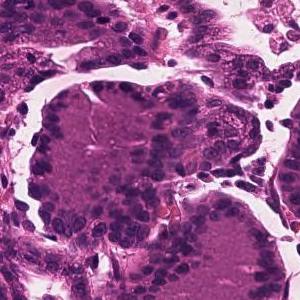
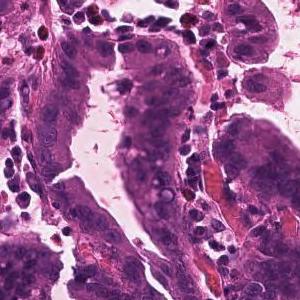
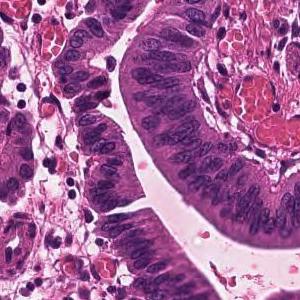
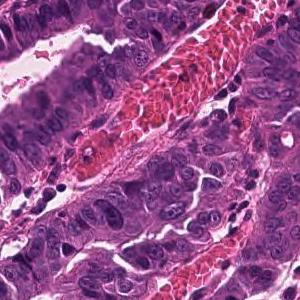
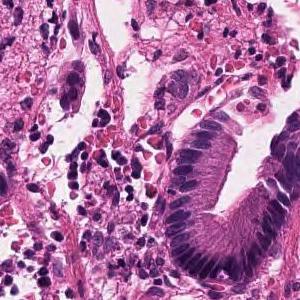
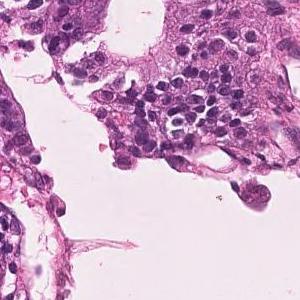
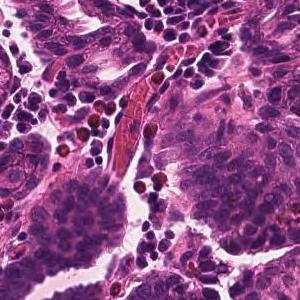
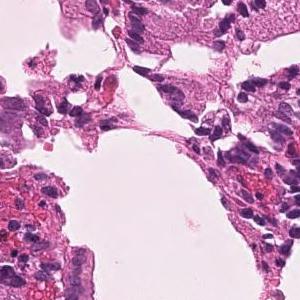
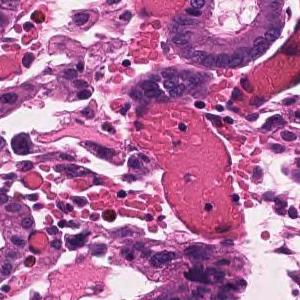
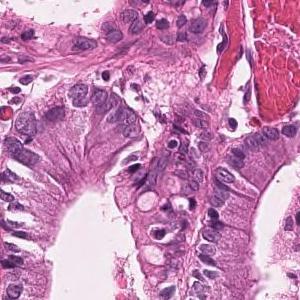
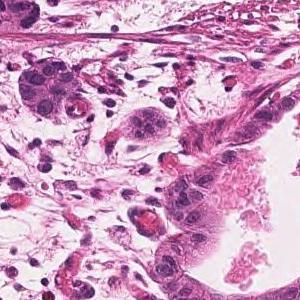
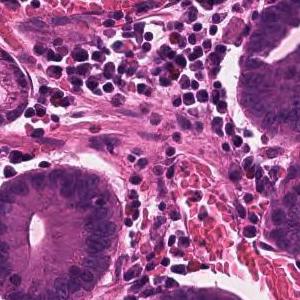
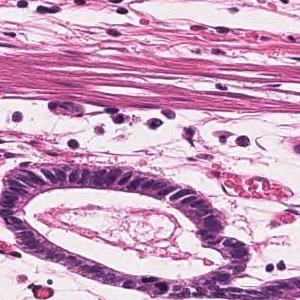
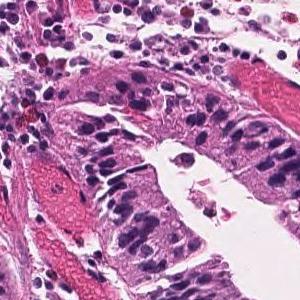
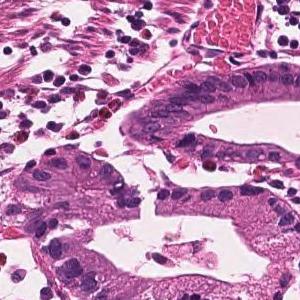
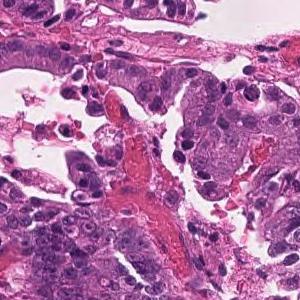
16 image tiles from a single gastric biopsy slide · each 300 × 300 pixels · hematoxylin and eosin stain.
The pathologist's report on the biopsy slide these tiles were taken from. The report describes the whole slide, diagnosis included: not every finding it names need appear in these tiles, which may also show non-tumor tissue.
Infiltrating tumor tissue with medium-sized, irregular ductal structure or large papillary appearance is observed. Well differentiated tubular adenocarcinoma
